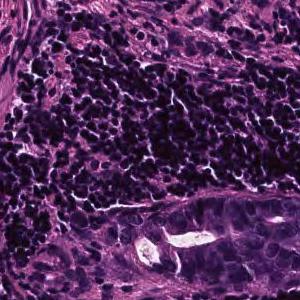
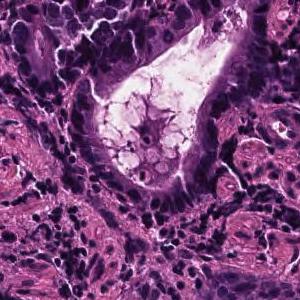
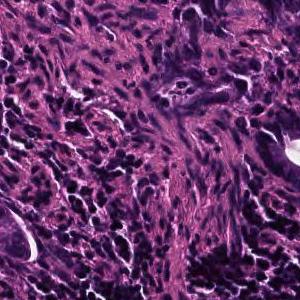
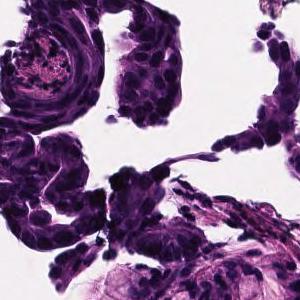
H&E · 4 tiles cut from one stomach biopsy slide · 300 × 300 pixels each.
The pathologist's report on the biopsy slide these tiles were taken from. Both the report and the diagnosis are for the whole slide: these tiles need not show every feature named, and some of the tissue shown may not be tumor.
On the superficial epithelium, tumor tissue consisting of large, irregular glandular ducts partially fused and infiltrated is observed. Well to moderately differentiated tubular adenocarcinoma (well differentiated tubular adenocarcinoma, moderately differentiated tubular adenocarcinoma)
Subtype: Well to moderately differentiated tubular adenocarcinoma.
